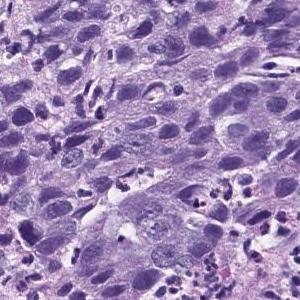
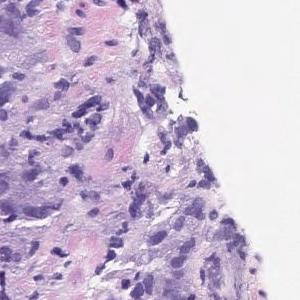
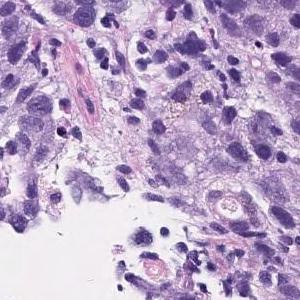
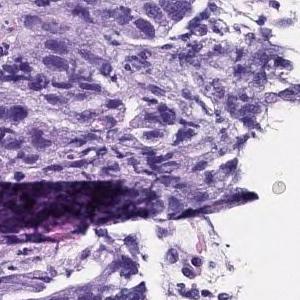
4 tiles cut from one stomach biopsy slide; 300 × 300 pixels each; H&E; scanned at ×20.
The pathologist's report on the biopsy slide these tiles were taken from. The report and the diagnosis describe the slide as a whole, so these tiles may not show every feature named and may include non-tumor tissue.
Atypical l cells with atypical nuclei forming solid vesicles or small irregular atypical ducts that proliferate in a complex manner. poorly differentiated adenocarcinoma, solid type, moderately differentiated tubular adenocarcinoma
The term "solid type" comes from the Japanese Classification of Gastric Carcinoma; the WHO 2019 equivalent is tubular adenocarcinoma, poorly differentiated.
